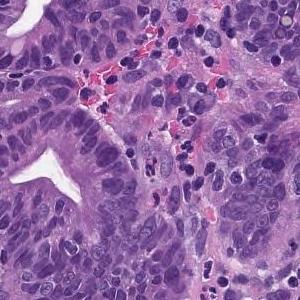
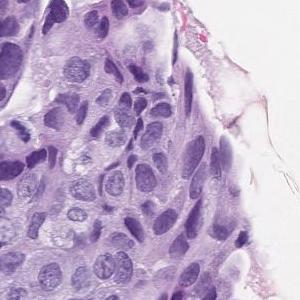
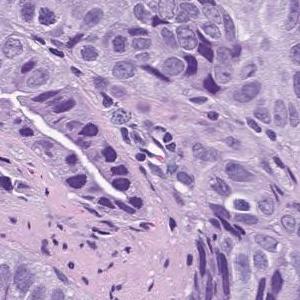
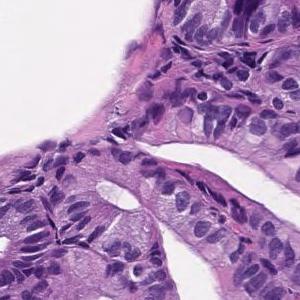
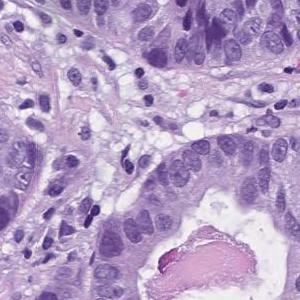
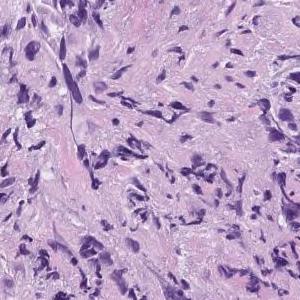
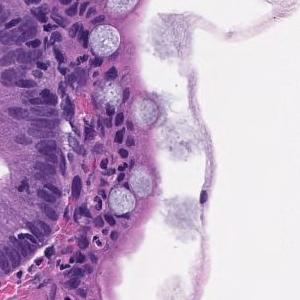
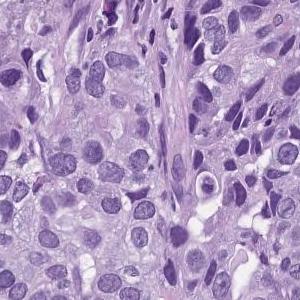
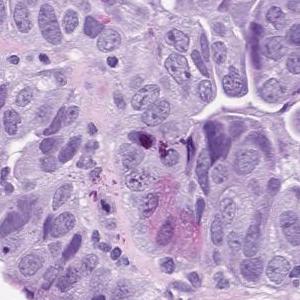
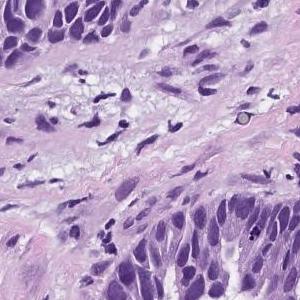
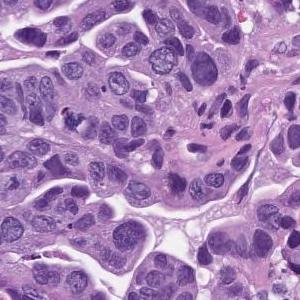
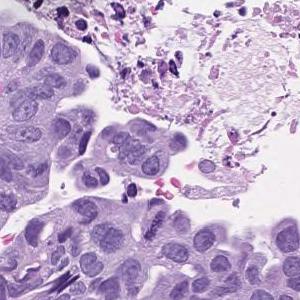
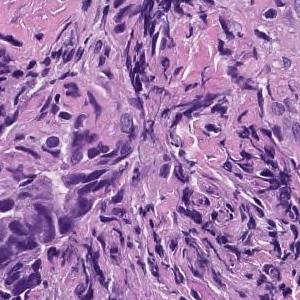
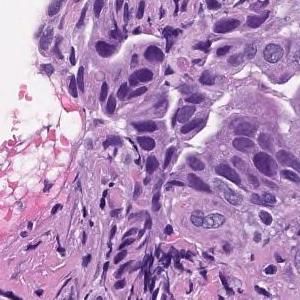
H&E · 14 image tiles from a single gastric biopsy slide.
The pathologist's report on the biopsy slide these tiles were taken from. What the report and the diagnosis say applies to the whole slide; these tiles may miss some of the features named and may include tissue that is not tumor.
In the superficial epithelium, tumor tissue that invades by forming medium-sized to small, irregular ducts is observed. moderately differentiated tubular adenocarcinoma.
